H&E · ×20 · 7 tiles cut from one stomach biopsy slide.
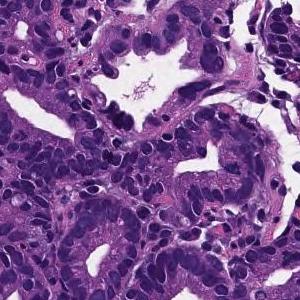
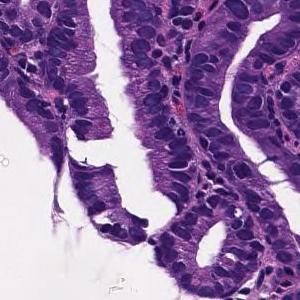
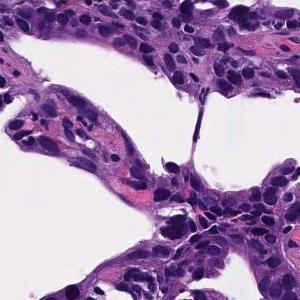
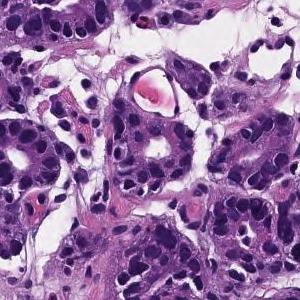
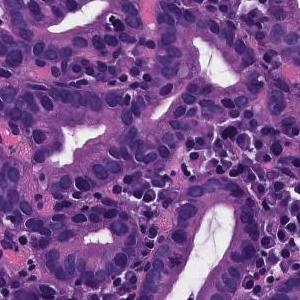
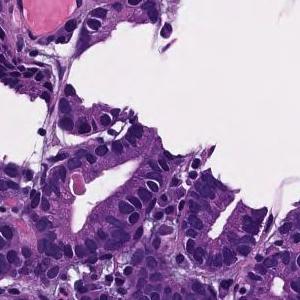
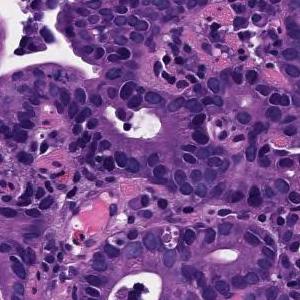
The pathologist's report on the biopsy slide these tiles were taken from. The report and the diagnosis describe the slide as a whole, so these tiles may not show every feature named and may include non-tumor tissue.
From the superficial epithelium to the muscularis mucosae, tumor tissue consisting of medium-sized and irregular glandular ducts infiltrating is observed. Well differentiated tubular adenocarcinoma
